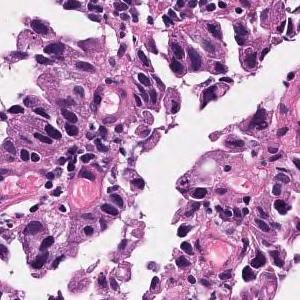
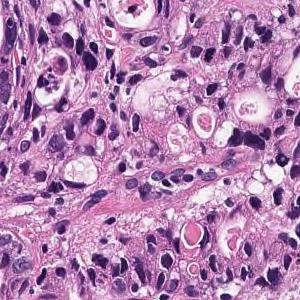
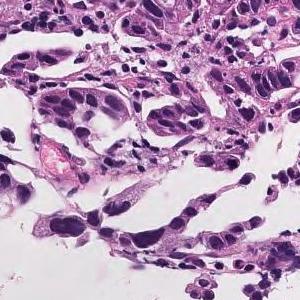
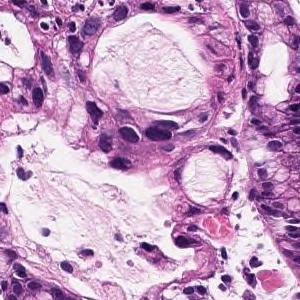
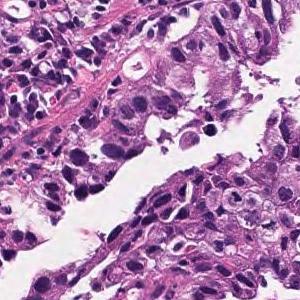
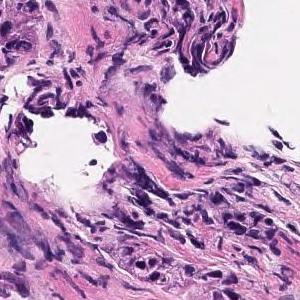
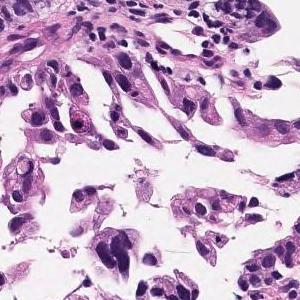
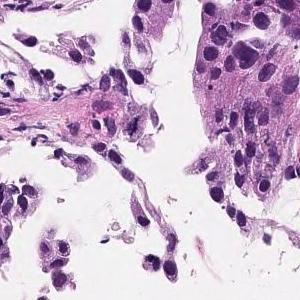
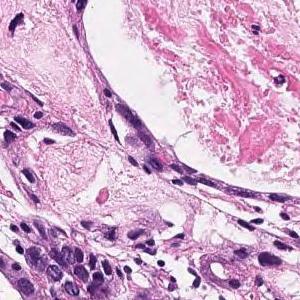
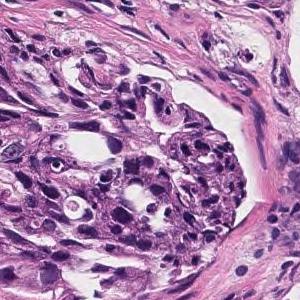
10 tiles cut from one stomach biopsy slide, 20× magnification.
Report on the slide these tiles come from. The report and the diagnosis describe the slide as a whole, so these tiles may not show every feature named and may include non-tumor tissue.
In the superficial epithelium, tumor tissue that invades by forming medium-sized to small, irregular ducts is observed. Moderately differentiated adenocarcinoma.
Subtype: Moderately differentiated tubular adenocarcinoma.
